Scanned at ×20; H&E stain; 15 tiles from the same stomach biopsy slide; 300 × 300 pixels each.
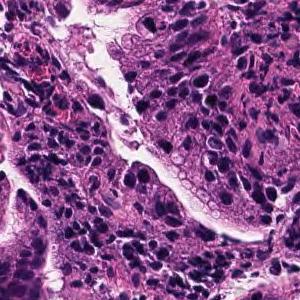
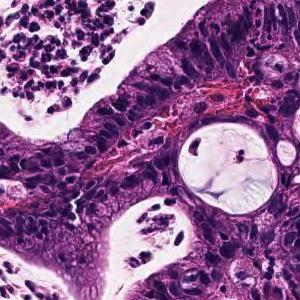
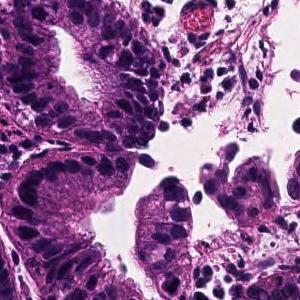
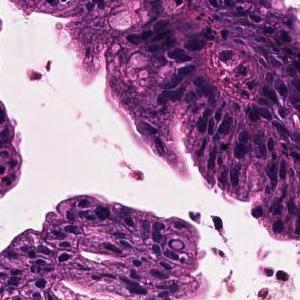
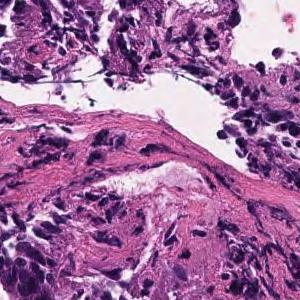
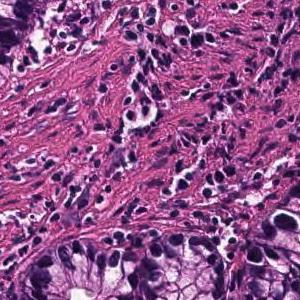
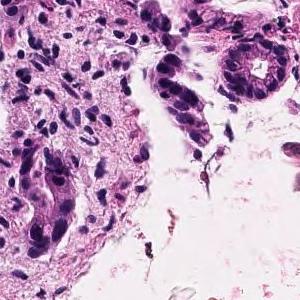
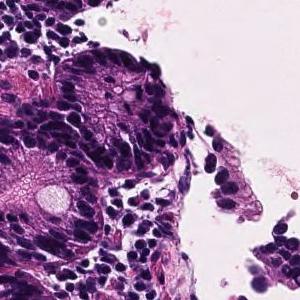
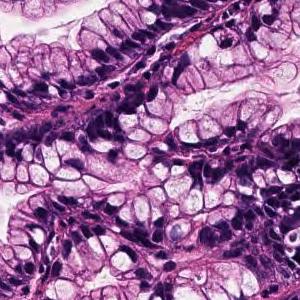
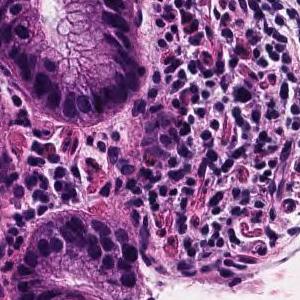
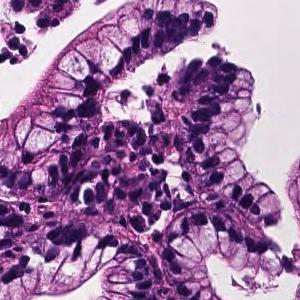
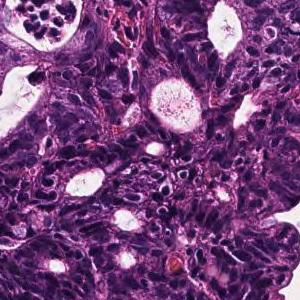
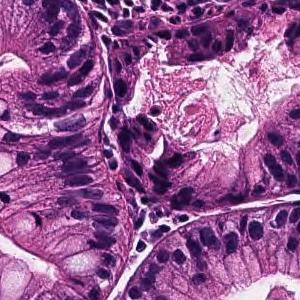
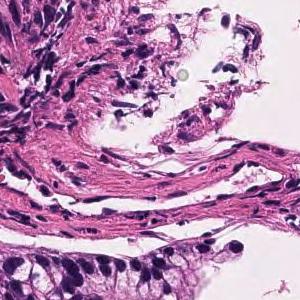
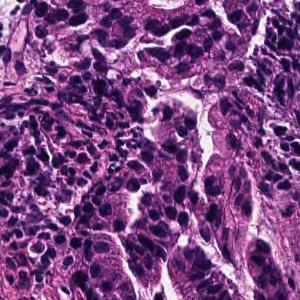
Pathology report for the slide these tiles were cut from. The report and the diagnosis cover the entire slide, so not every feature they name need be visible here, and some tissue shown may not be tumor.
Tumor cells are large, highly columnar, large club-shaped nuclei, and are associated with chromatin aggregation. Papillary adenocarcinoma.
